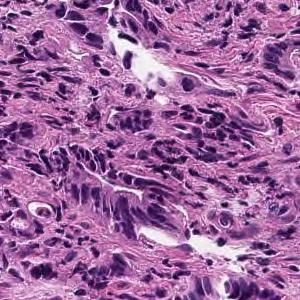
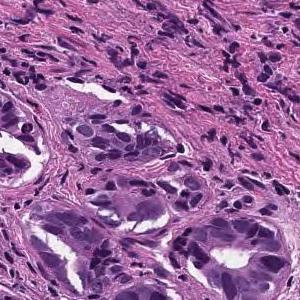
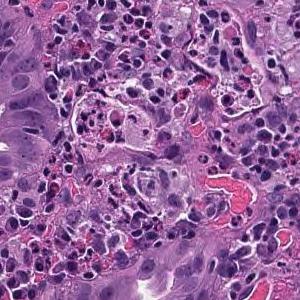
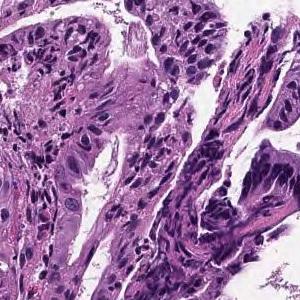
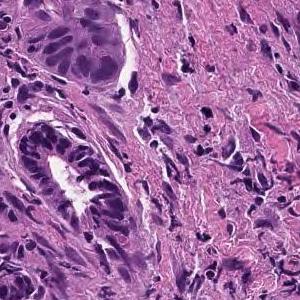
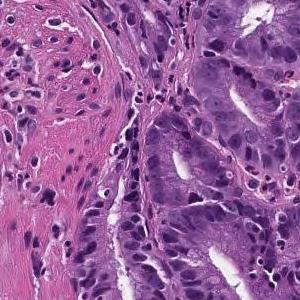
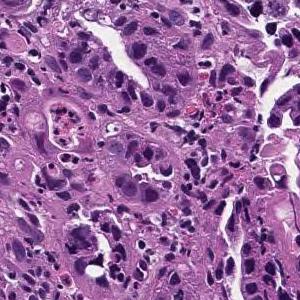
×20 · H&E · 7 patches cut from one gastric biopsy slide · 300×300 px each.
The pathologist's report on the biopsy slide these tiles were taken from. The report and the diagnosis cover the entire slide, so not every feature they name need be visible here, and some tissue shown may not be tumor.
On the superficial epithelium, tumor tissue consisting of large, irregular glandular ducts partially fused and infiltrated is observed. Well to moderately differentiated tubular adenocarcinoma (well differentiated tubular adenocarcinoma, moderately differentiated tubular adenocarcinoma)
Histologic type: Well to moderately differentiated tubular adenocarcinoma.
